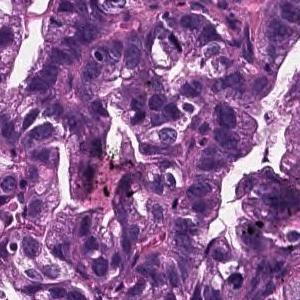
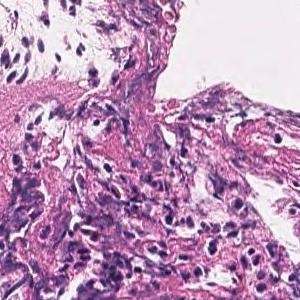
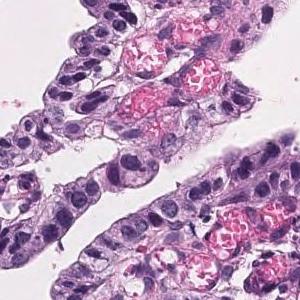
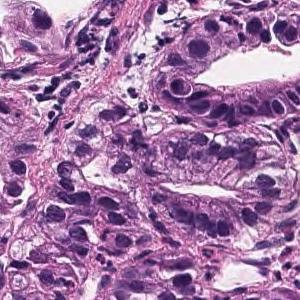
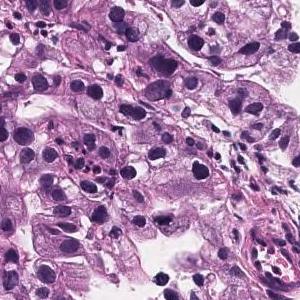
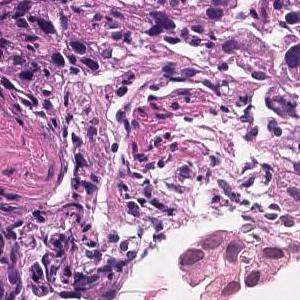
6 tiles cut from one stomach biopsy slide, each 300 × 300 pixels, ×20, hematoxylin and eosin stain.
The pathologist's report on the biopsy slide these tiles were taken from. The report describes the whole slide, diagnosis included: not every finding it names need appear in these tiles, which may also show non-tumor tissue.
Tumor cells are large, highly columnar, large club-shaped nuclei, and are associated with chromatin aggregation. Papillary adenocarcinoma.
